H&E; scanned at ×20; 6 image tiles from a single gastric biopsy slide; 300×300 px each.
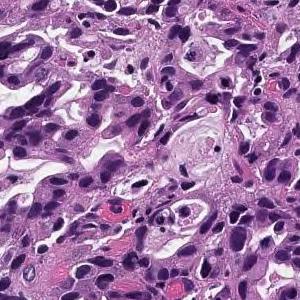
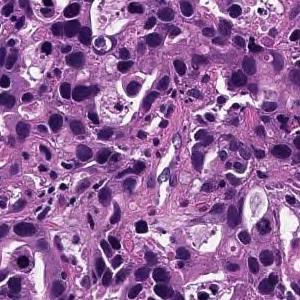
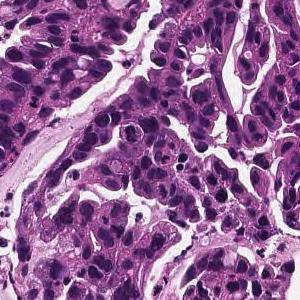
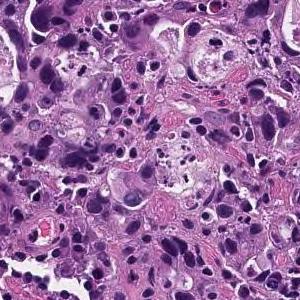
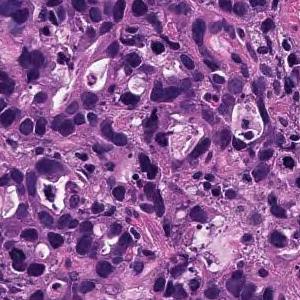
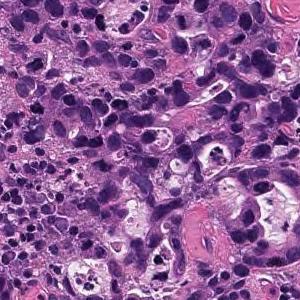
Pathology report for the slide these tiles were cut from. Both the report and the diagnosis are for the whole slide: these tiles need not show every feature named, and some of the tissue shown may not be tumor.
In the superficial epithelium, tumor tissue that invades by forming medium-sized to small, irregular ducts is observed. moderately differentiated tubular adenocarcinoma.
